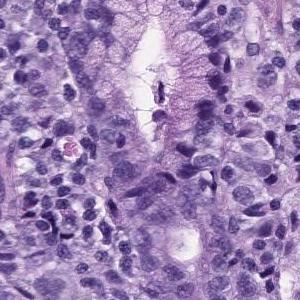
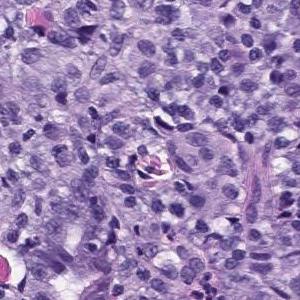
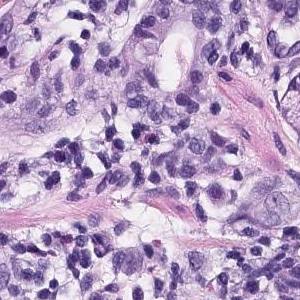
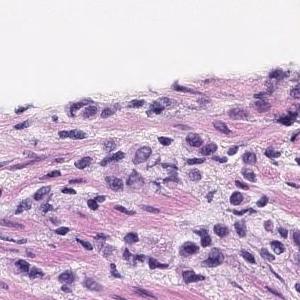
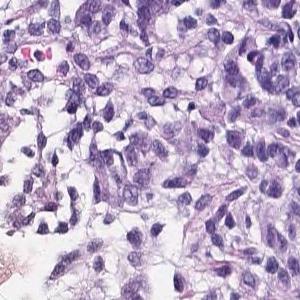
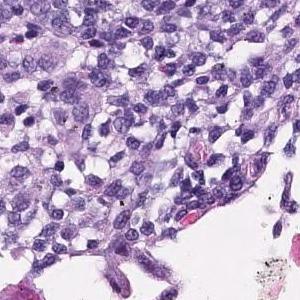
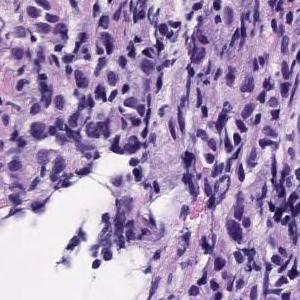
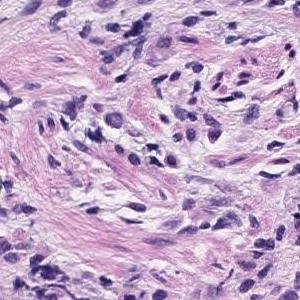
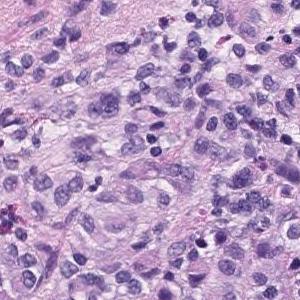
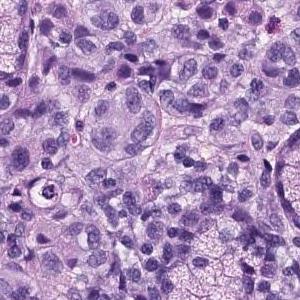
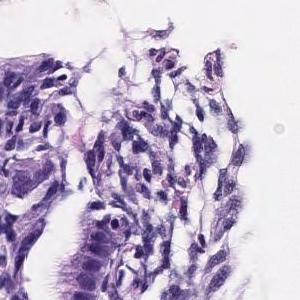
11 tiles cut from one stomach biopsy slide · H&E.
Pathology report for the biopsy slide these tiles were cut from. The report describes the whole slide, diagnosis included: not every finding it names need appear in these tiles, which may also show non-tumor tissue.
There are medium-sized atypical cells with marked nuclear swelling and increased N/C ratio, which grow into solid or isolated scattered cells. Poorly differentiated adenocarcinoma
Histological subtype: Poorly differentiated adenocarcinoma, solid type (Japanese Classification of Gastric Carcinoma). The WHO 2019 equivalent is tubular adenocarcinoma, poorly differentiated.
